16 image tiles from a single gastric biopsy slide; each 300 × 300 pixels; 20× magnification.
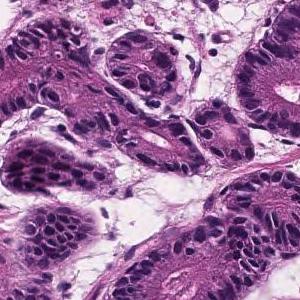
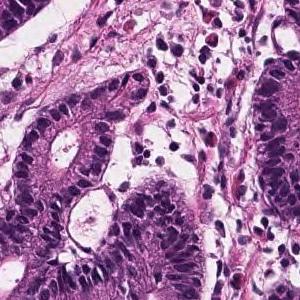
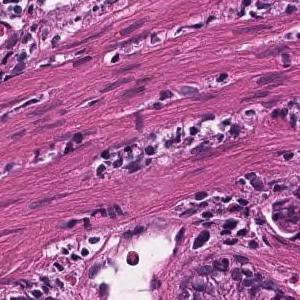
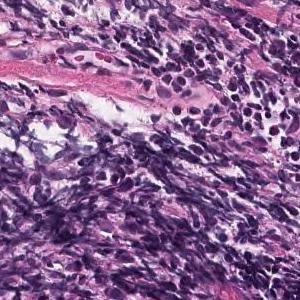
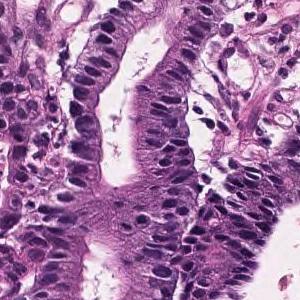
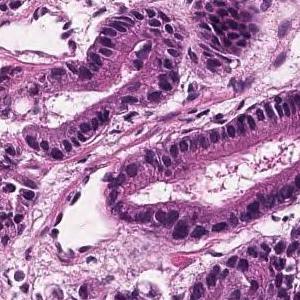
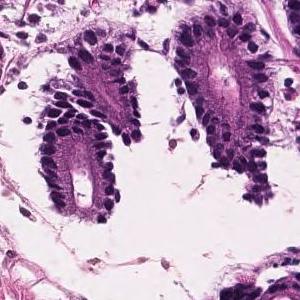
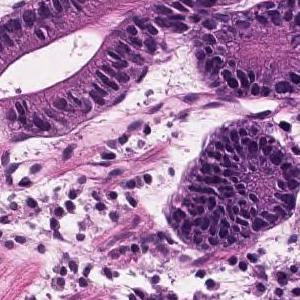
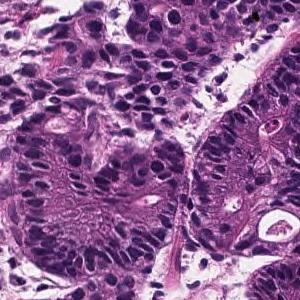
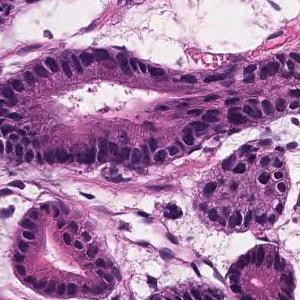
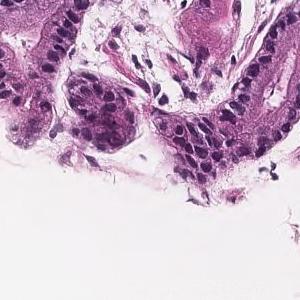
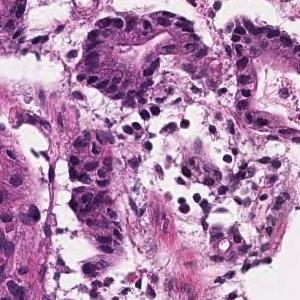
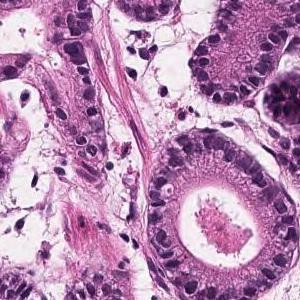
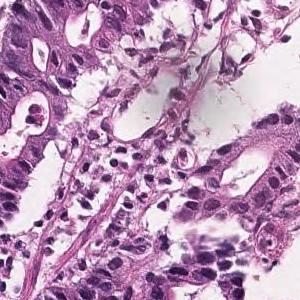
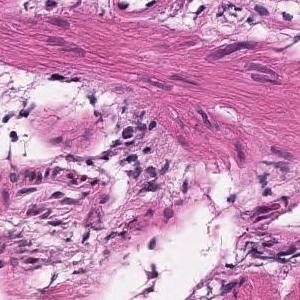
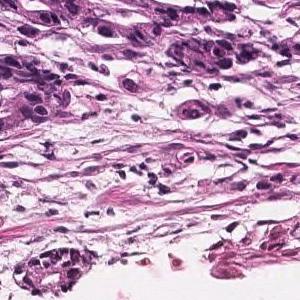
Pathology report for the biopsy slide these tiles were cut from. The findings and the diagnosis refer to the entire slide; these tiles show only part of it, possibly with non-tumor tissue, and may not show every feature named.
Tumor tissue with atypical epithelium showing irregular ductal or sieving ductal structure and proliferating is observed. Well to moderately differentiated tubular adenocarcinoma (well differentiated tubular adenocarcinoma-moderately differentiated tubular adenocarcinoma)
Classified as well to moderately differentiated tubular adenocarcinoma.
